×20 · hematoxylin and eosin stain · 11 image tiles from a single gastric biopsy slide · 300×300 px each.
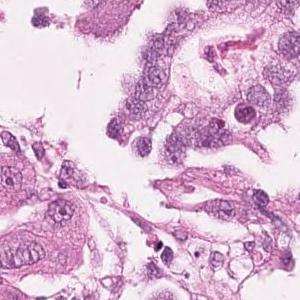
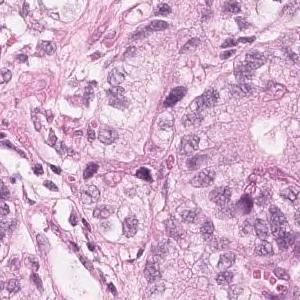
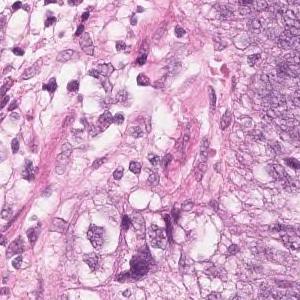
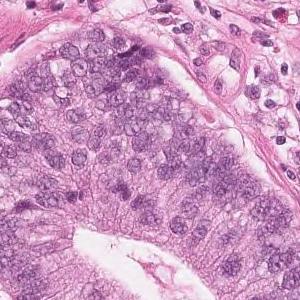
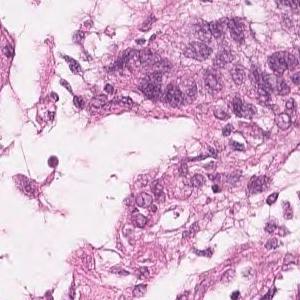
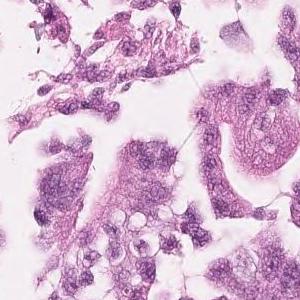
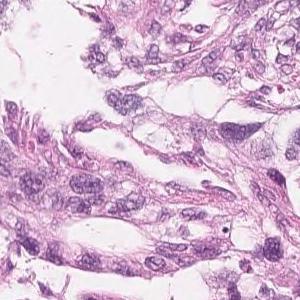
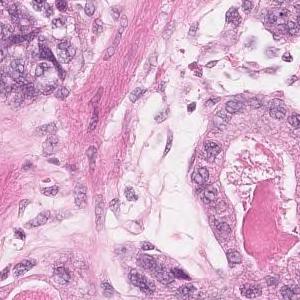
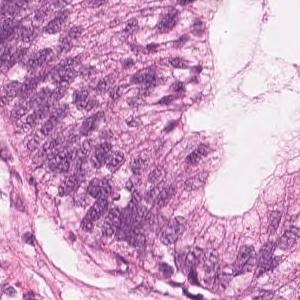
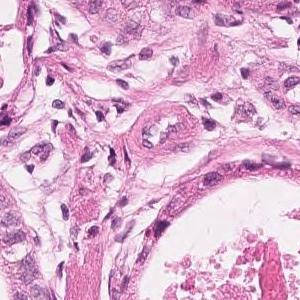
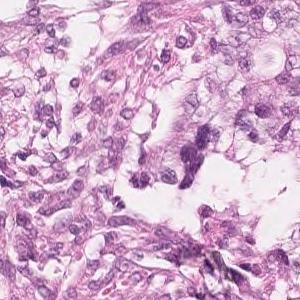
Report on the slide these tiles come from. The report and the diagnosis cover the entire slide, so not every feature they name need be visible here, and some tissue shown may not be tumor.
Highly columnar epithelium with disordered nuclear localization proliferates showing fusion ductal construction. moderately differentiated tubular adenocarcinoma
